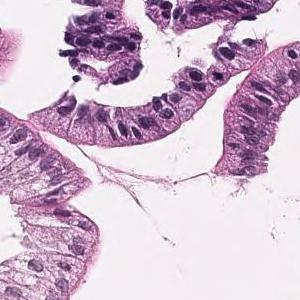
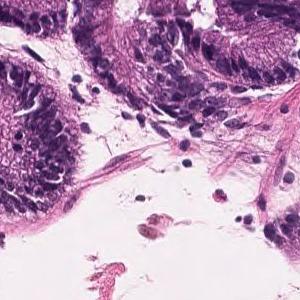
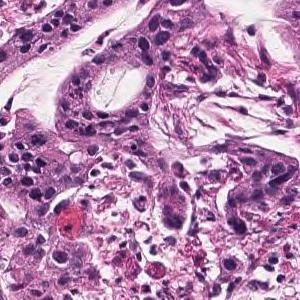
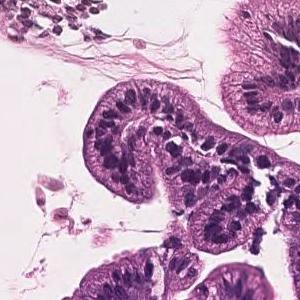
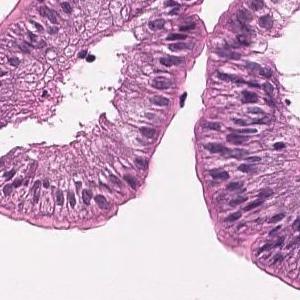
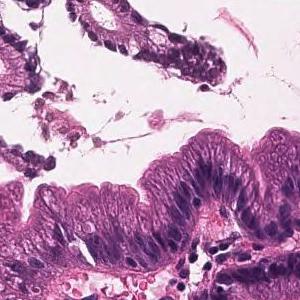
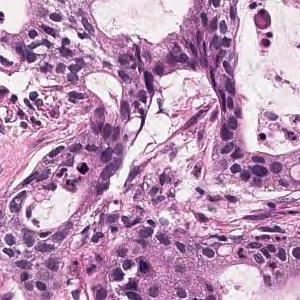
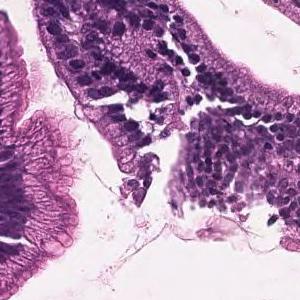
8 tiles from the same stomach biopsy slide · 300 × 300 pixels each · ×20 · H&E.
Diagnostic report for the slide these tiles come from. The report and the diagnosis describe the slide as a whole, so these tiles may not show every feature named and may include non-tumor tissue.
Tumor tissue that grows invasively while the short atypical epithelium forms small ducts is observed. moderately differentiated tubular adenocarcinoma
